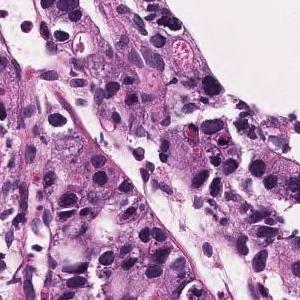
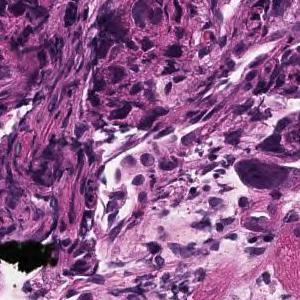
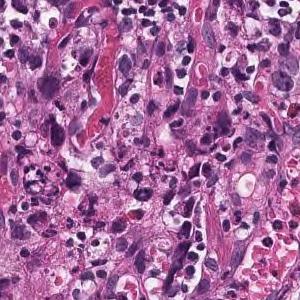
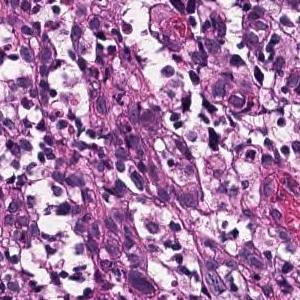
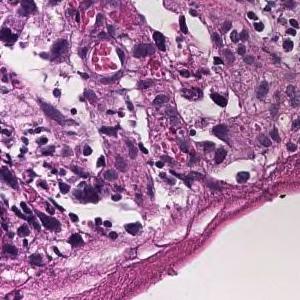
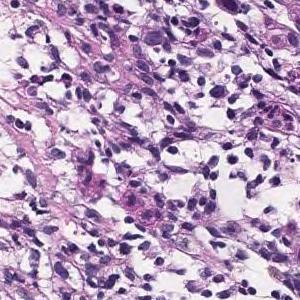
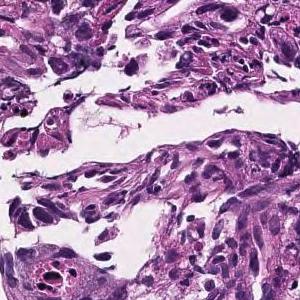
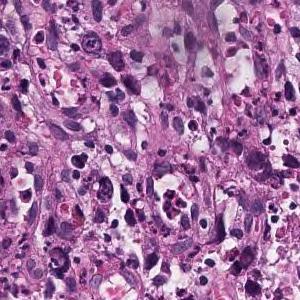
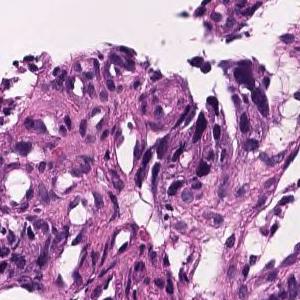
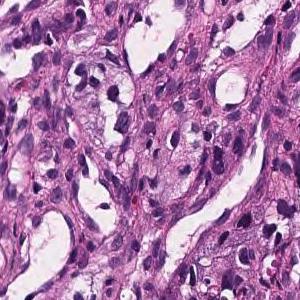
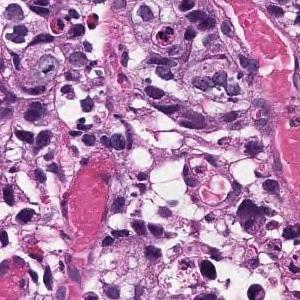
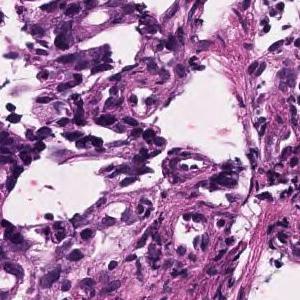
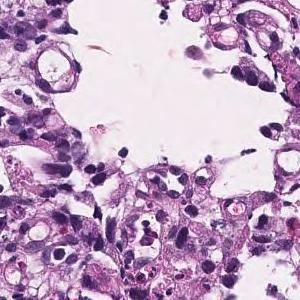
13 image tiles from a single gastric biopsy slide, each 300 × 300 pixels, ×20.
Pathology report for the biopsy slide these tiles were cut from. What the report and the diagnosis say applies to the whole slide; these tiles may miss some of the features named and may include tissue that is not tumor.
Tumor tissue consisting of medium-sized, cord-like or irregular glandular infiltration is observed in the superficial epithelium. Poorly differentiated adenocarcinoma, non-solid type or moderately differentiated tubular adenocarcinoma
"Non-solid type" is a category of the Japanese Classification of Gastric Carcinoma.
